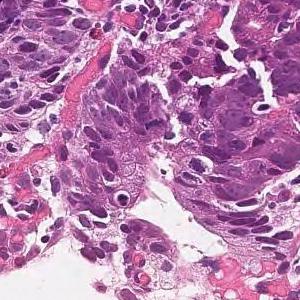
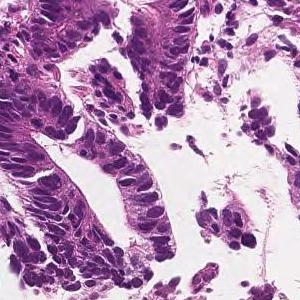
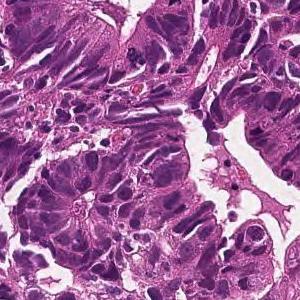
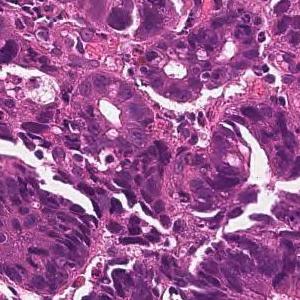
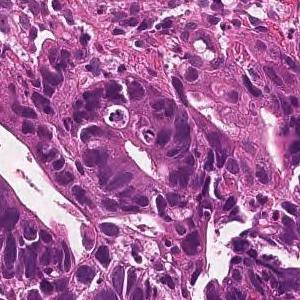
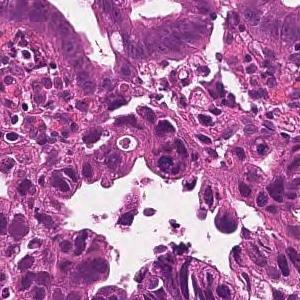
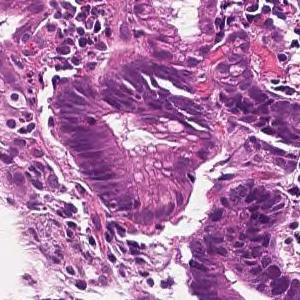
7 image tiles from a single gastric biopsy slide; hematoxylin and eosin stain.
The pathologist's report on the biopsy slide these tiles were taken from. The report and the diagnosis describe the slide as a whole, so these tiles may not show every feature named and may include non-tumor tissue.
From the superficial epithelium to the muscularis mucosae, tumor tissue consisting of medium-sized and irregular glandular ducts infiltrating is observed. Well differentiated tubular adenocarcinoma
